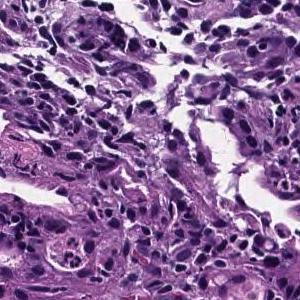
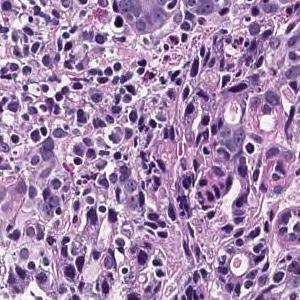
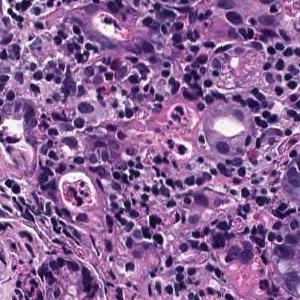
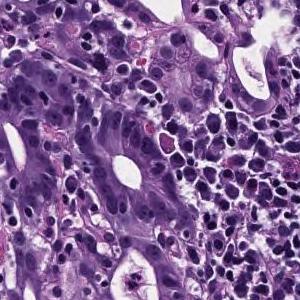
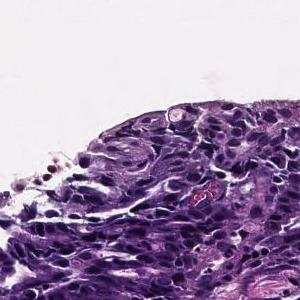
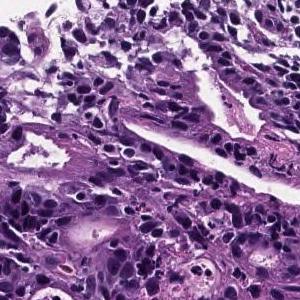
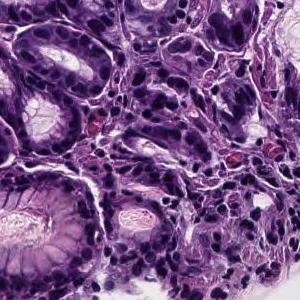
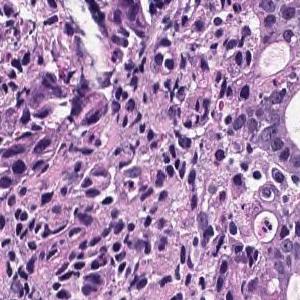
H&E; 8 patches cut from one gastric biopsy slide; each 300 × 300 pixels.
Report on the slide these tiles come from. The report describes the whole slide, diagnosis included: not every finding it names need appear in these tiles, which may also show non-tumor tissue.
In the superficial epithelium, tumor tissue that invades by forming medium-sized to small, irregular ducts is observed. moderately differentiated tubular adenocarcinoma.
